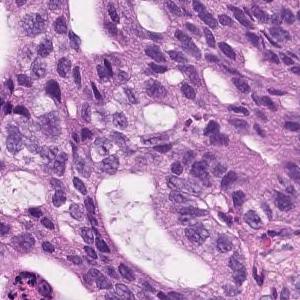
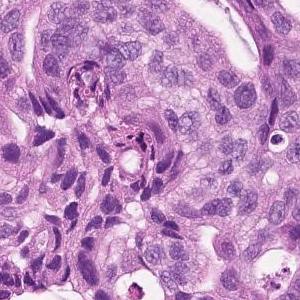
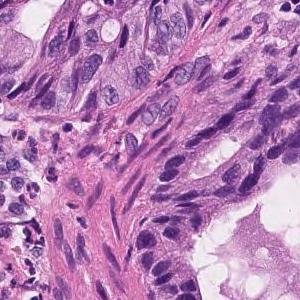
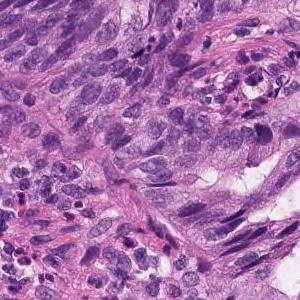
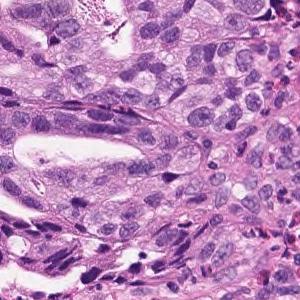
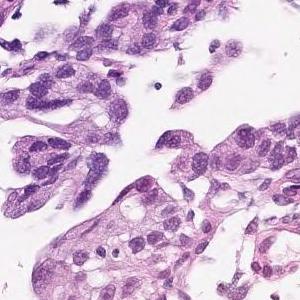
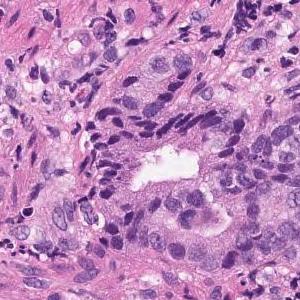
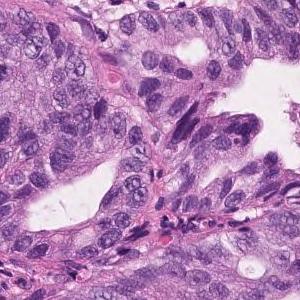
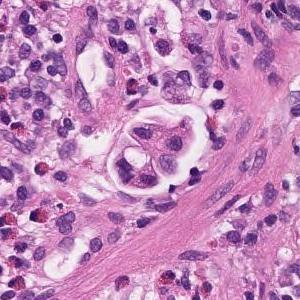
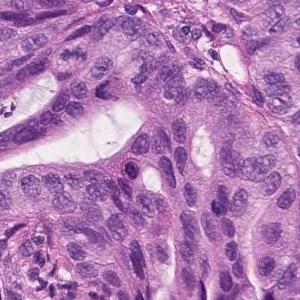
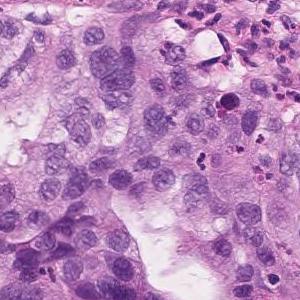
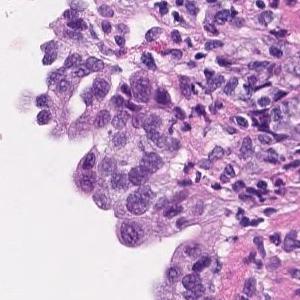
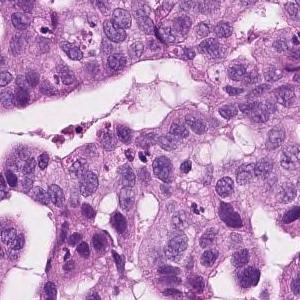
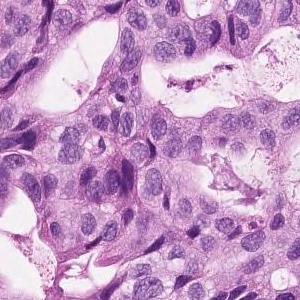
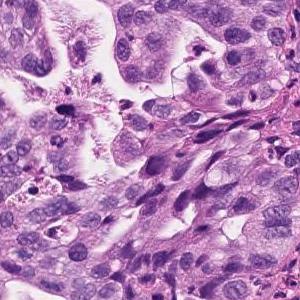
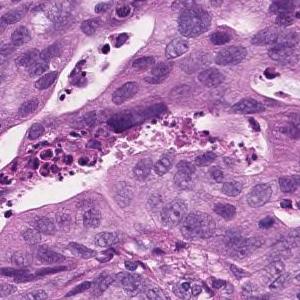
16 patches cut from one gastric biopsy slide · ×20 · hematoxylin and eosin stain.
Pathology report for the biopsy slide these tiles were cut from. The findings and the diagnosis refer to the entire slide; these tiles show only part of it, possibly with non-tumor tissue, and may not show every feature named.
Atypical epithelium forming papillary or sieving ducts and infiltrating growth is observed. Papillary adenocarcinoma.
